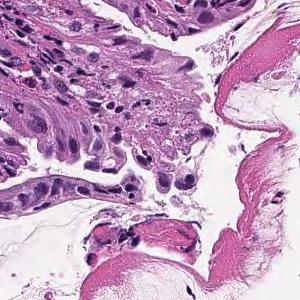
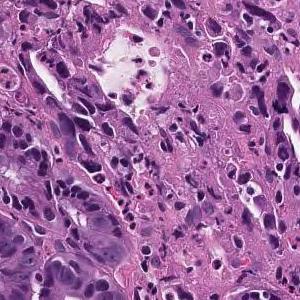
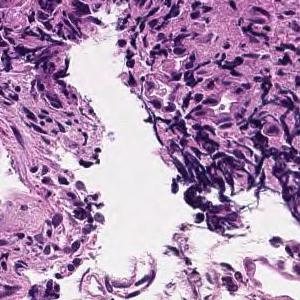
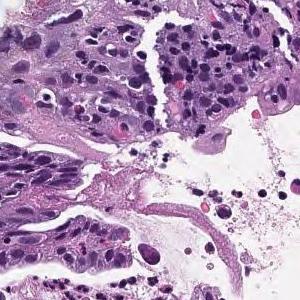
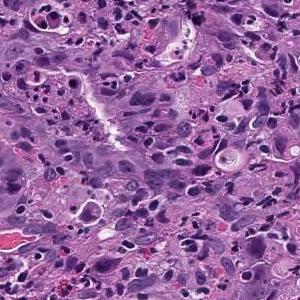
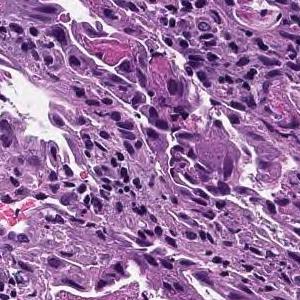
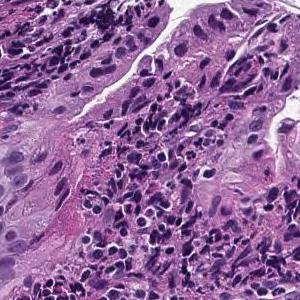
Scanned at ×20; 7 patches cut from one gastric biopsy slide; 300 × 300 pixels each.
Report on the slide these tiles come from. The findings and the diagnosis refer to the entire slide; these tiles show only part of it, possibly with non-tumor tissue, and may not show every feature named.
On the superficial epithelium, tumor tissue consisting of large, irregular glandular ducts partially fused and infiltrated is observed. Well to moderately differentiated tubular adenocarcinoma (well differentiated tubular adenocarcinoma, moderately differentiated tubular adenocarcinoma)
Tumor subtype: well to moderately differentiated tubular adenocarcinoma.
